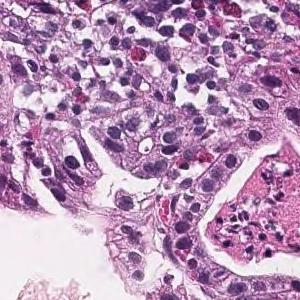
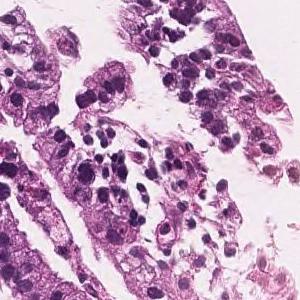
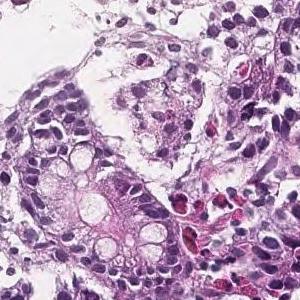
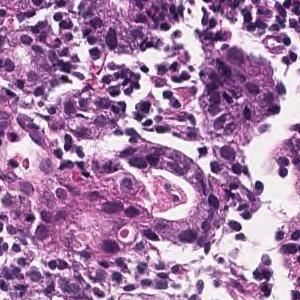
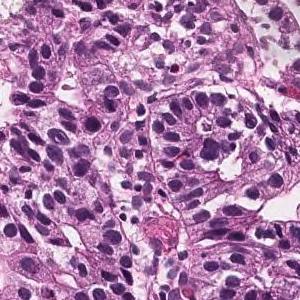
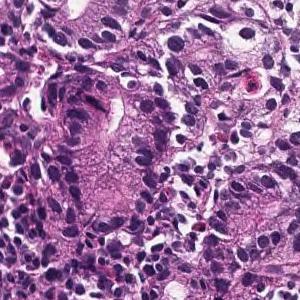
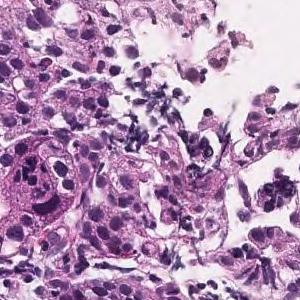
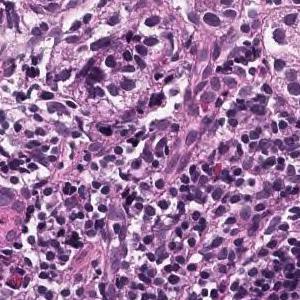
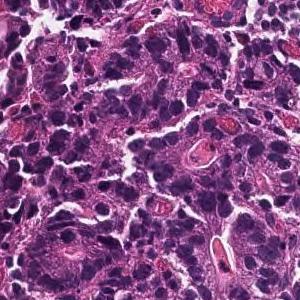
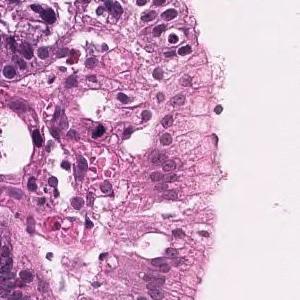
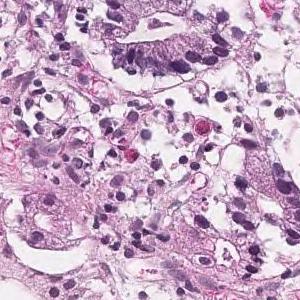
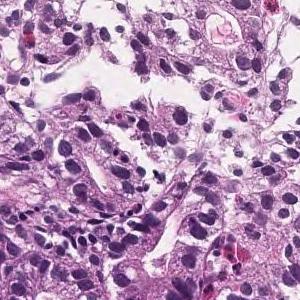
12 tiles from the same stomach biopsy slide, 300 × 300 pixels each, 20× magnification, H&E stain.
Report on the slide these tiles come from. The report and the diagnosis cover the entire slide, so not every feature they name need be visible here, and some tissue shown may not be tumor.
Tumor tissue that forms medium-sized, irregular glandular ducts and is papillary and proliferate is observed confined to the mucosal epithelium. moderately differentiated tubular adenocarcinoma.
